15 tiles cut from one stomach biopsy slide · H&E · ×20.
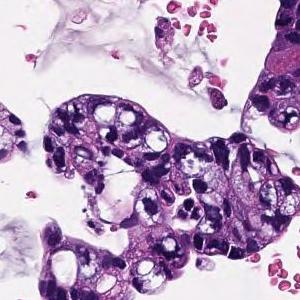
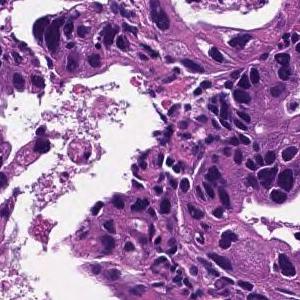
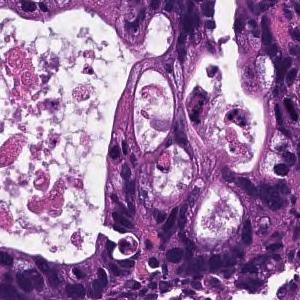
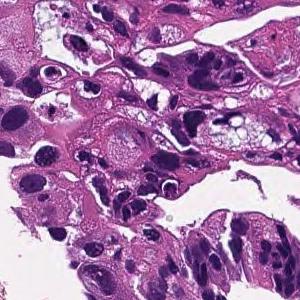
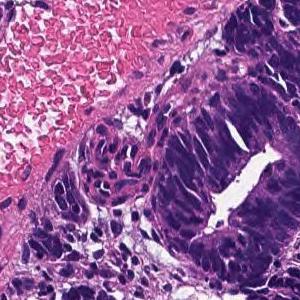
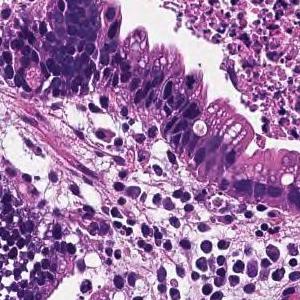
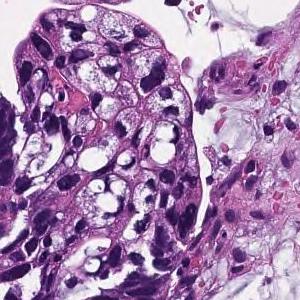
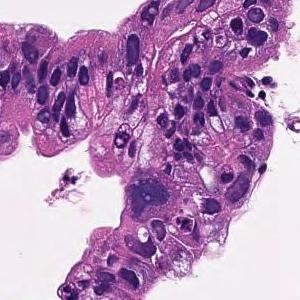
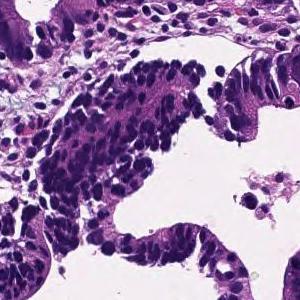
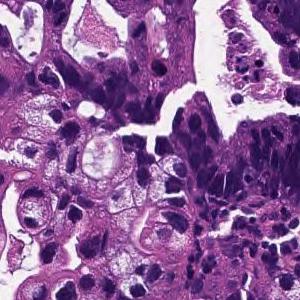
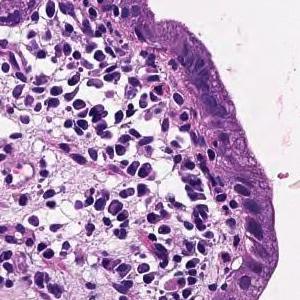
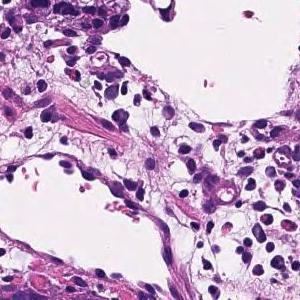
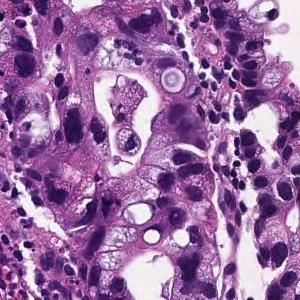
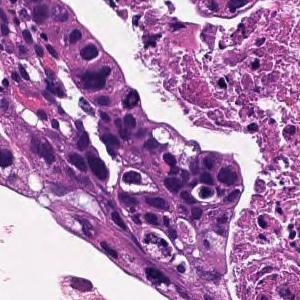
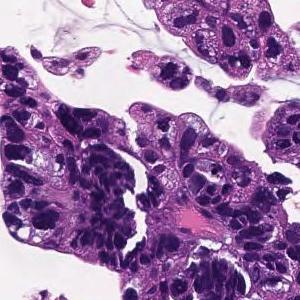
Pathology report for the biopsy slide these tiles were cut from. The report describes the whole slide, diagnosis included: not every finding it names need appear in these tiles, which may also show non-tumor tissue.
In the superficial epithelium, tumor tissue that invades by forming medium-sized to small, irregular ducts is observed. moderately differentiated tubular adenocarcinoma.
